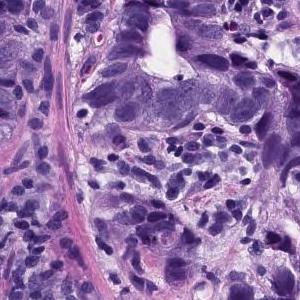
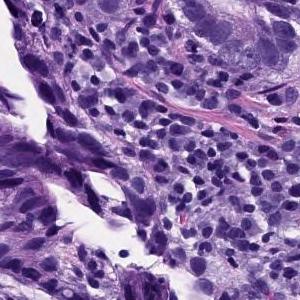
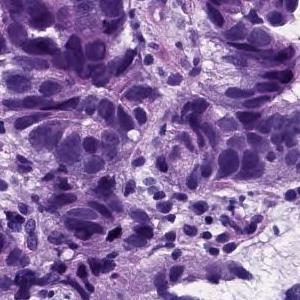
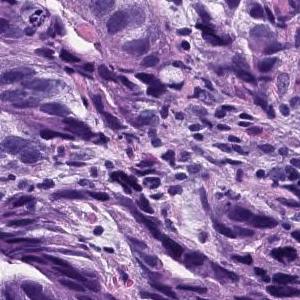
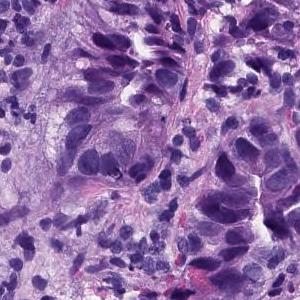
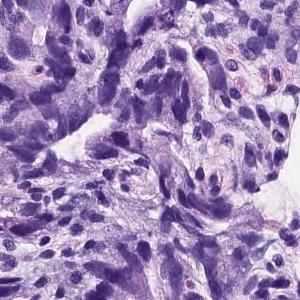
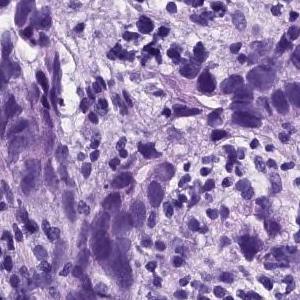
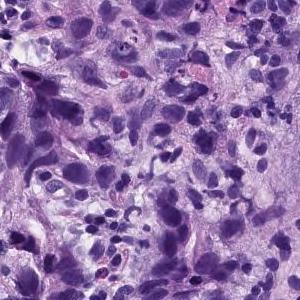
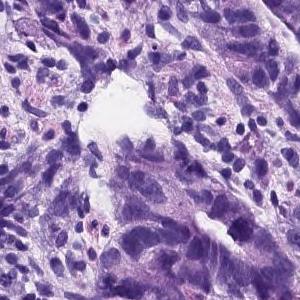
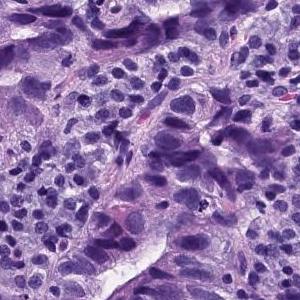
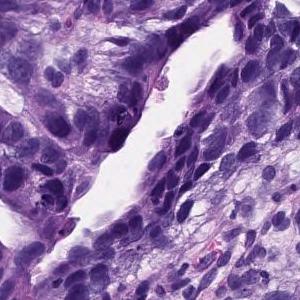
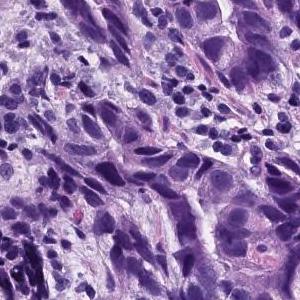
12 tiles from the same stomach biopsy slide.
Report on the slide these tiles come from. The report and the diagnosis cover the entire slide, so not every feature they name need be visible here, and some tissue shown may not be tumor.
In the superficial epithelium, tumor tissue that invades by forming medium-sized to small, irregular ducts is observed. Moderately differentiated adenocarcinoma.
Tumor subtype: moderately differentiated tubular adenocarcinoma.
